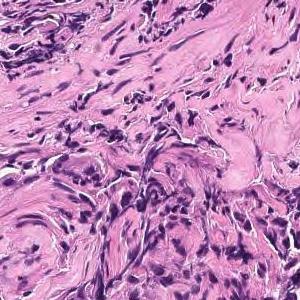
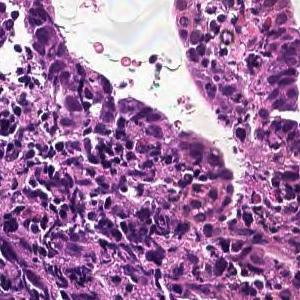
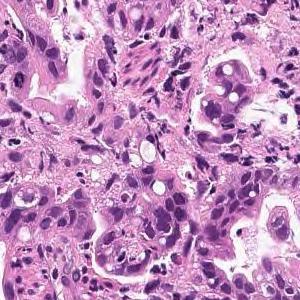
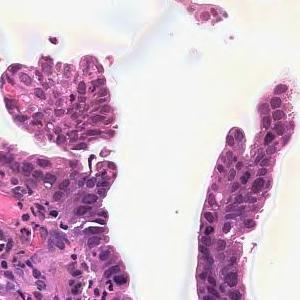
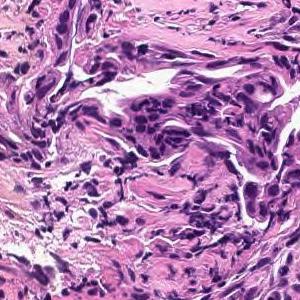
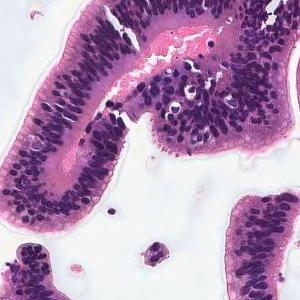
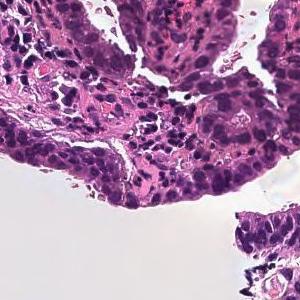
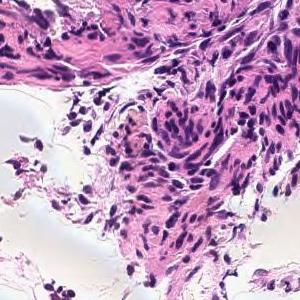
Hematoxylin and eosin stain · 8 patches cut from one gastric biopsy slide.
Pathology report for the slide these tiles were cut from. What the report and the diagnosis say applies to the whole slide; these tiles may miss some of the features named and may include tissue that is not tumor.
From the superficial epithelium to the muscularis mucosae, tumor tissue consisting of medium-sized and irregular glandular ducts infiltrating is observed. Well differentiated tubular adenocarcinoma
